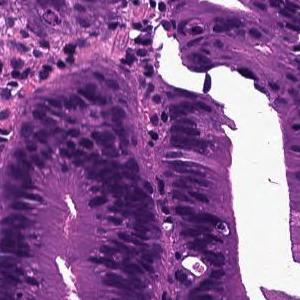
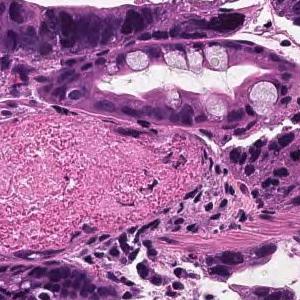
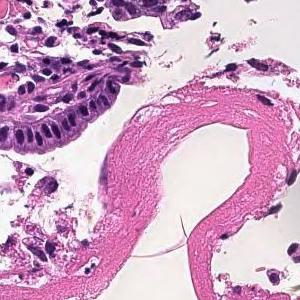
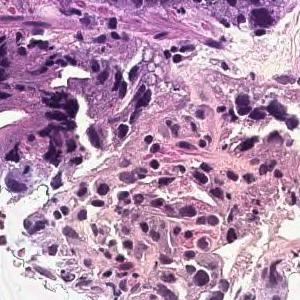
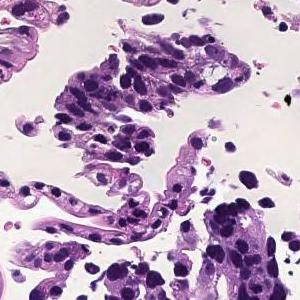
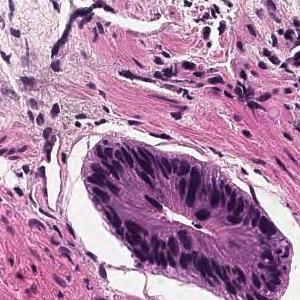
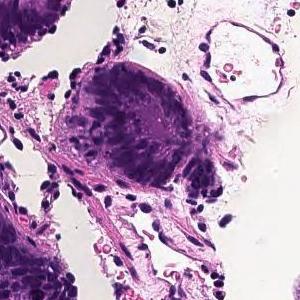
7 patches cut from one gastric biopsy slide; 300×300 px each.
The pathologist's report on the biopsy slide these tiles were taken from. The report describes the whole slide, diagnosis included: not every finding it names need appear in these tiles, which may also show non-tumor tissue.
In the superficial epithelium, tumor tissue that invades by forming medium-sized to small, irregular ducts is observed. moderately differentiated tubular adenocarcinoma.
